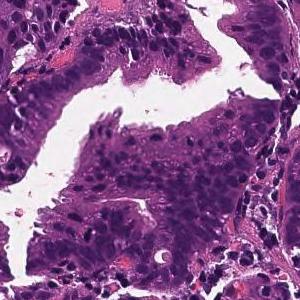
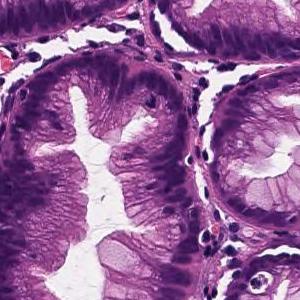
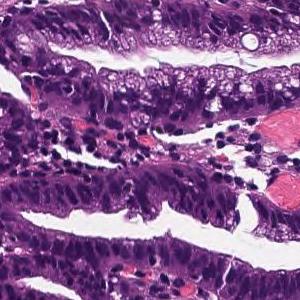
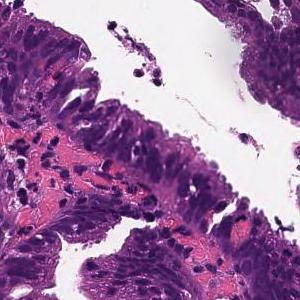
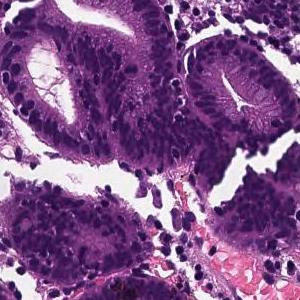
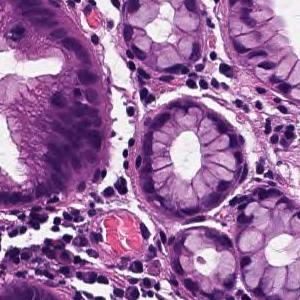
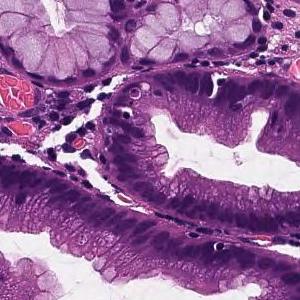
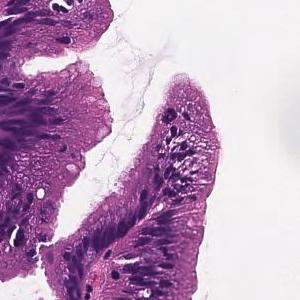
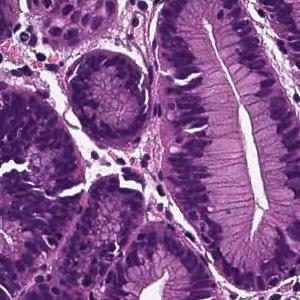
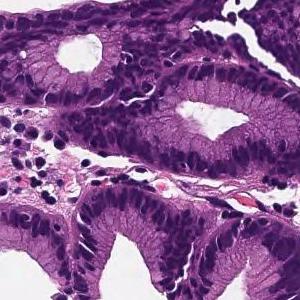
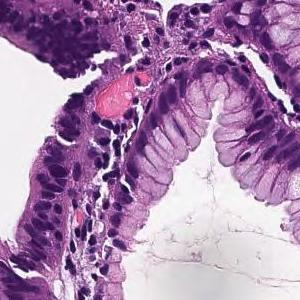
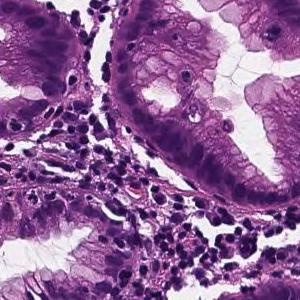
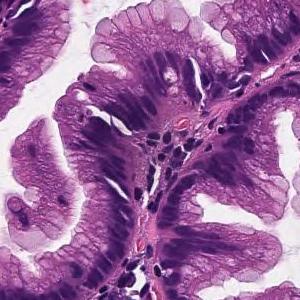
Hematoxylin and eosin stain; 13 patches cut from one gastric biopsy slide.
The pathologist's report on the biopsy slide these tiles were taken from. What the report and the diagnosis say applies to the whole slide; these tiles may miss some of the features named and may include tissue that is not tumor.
Cells with elliptical or atypical nuclei form dense ducts with relatively clear growth. Well differentiated tubular adenocarcinoma
